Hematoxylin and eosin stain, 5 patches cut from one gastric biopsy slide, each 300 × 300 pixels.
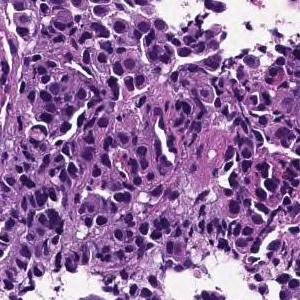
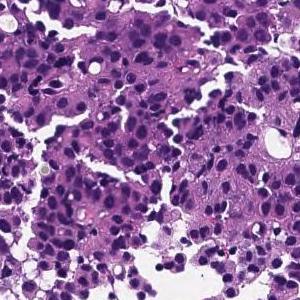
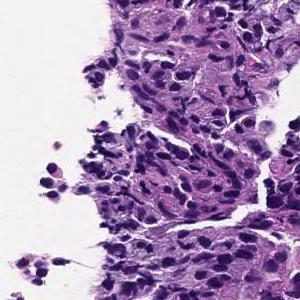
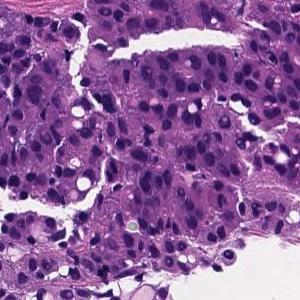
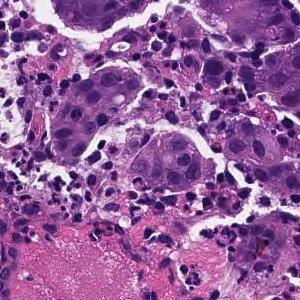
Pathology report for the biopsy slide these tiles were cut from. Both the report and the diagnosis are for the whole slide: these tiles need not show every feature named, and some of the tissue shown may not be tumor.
The superficial epithelium shows a large sheet-like shape, and some tumor tissue infiltrates with small irregular ducts. Poorly differentiated adenocarcinoma, solid-type
Histological subtype: Poorly differentiated adenocarcinoma, solid type, a category of the Japanese Classification of Gastric Carcinoma; in the WHO 2019 classification it is tubular adenocarcinoma, poorly differentiated.
